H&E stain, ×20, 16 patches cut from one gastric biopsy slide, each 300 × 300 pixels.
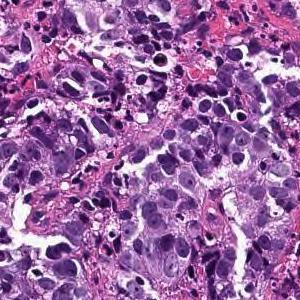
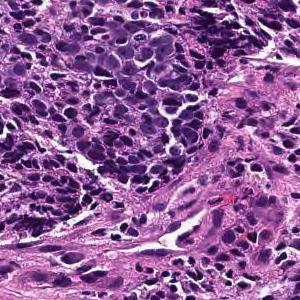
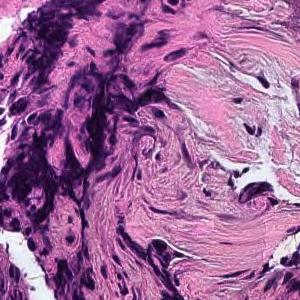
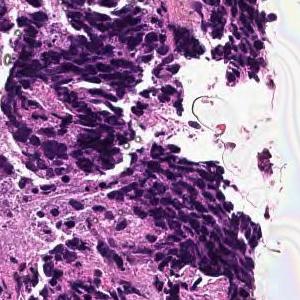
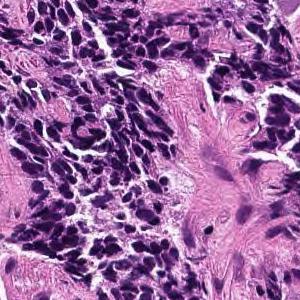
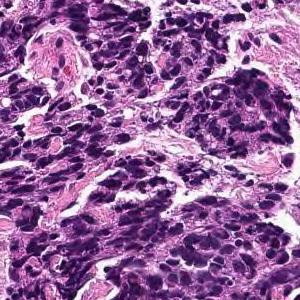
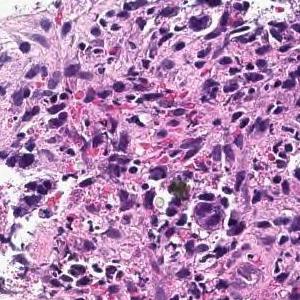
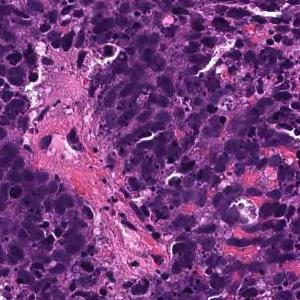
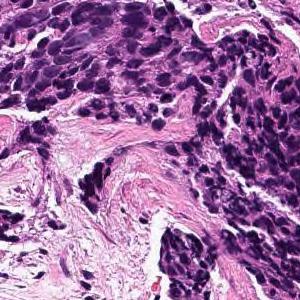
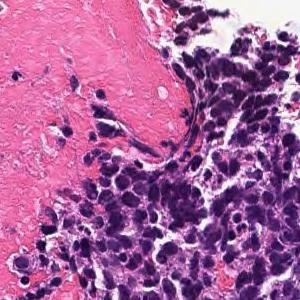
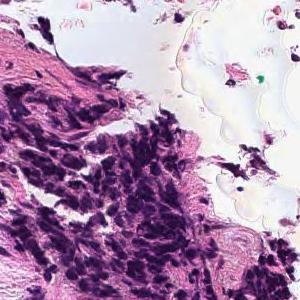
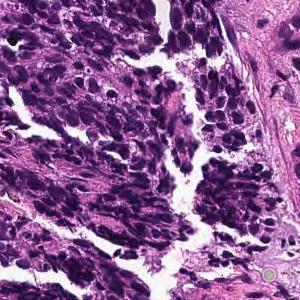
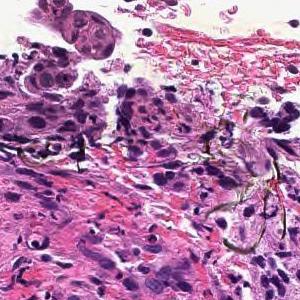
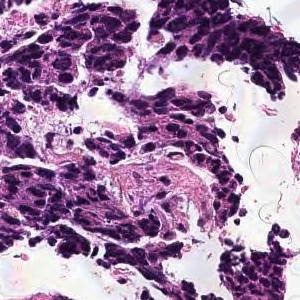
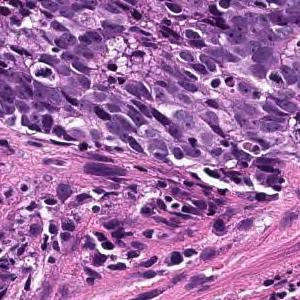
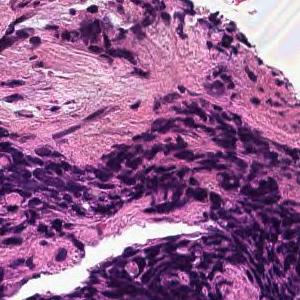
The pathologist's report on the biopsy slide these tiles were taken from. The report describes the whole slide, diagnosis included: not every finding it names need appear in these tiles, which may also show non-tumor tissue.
The superficial epithelium shows a large sheet or alveolar shape, and tumor tissue infiltrating without irregular ducts is observed. Poorly differentiated adenocarcinoma, solid-type
Histological subtype: Poorly differentiated adenocarcinoma, solid type (Japanese Classification of Gastric Carcinoma). The WHO 2019 equivalent is tubular adenocarcinoma, poorly differentiated.
